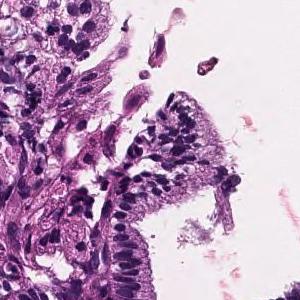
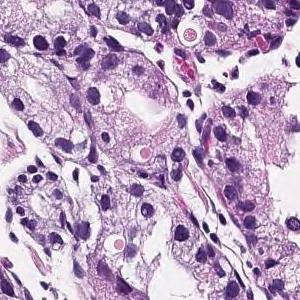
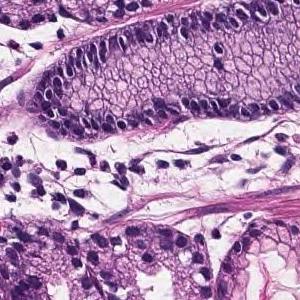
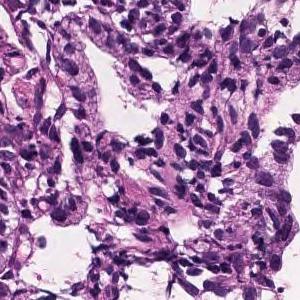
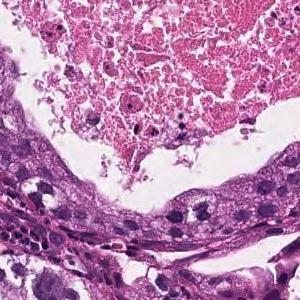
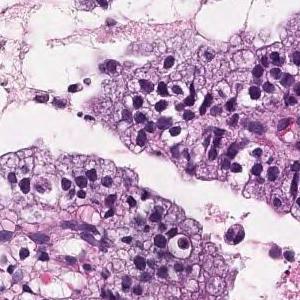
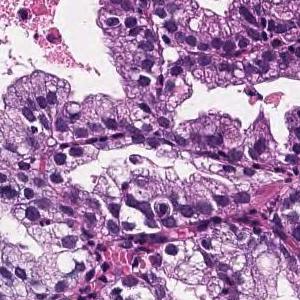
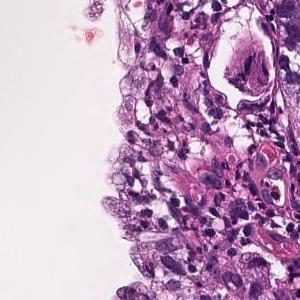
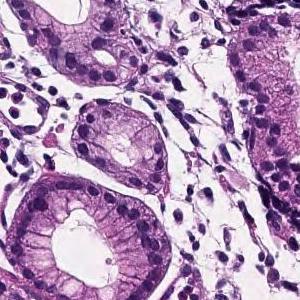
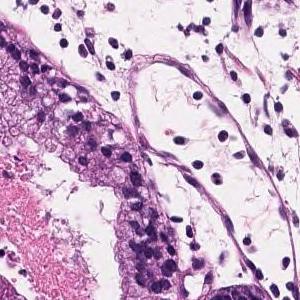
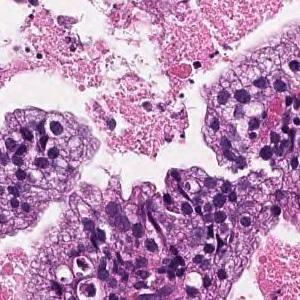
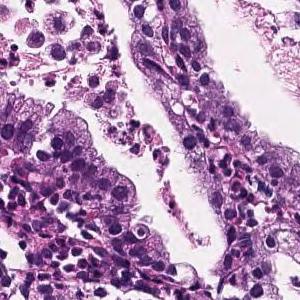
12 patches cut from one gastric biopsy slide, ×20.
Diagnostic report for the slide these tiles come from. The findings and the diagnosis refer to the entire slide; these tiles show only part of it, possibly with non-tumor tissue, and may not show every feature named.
In the superficial epithelium, tumor tissue that infiltrates by forming medium-sized papillary or small irregular ducts is observed. Papillary adenocarcinoma
